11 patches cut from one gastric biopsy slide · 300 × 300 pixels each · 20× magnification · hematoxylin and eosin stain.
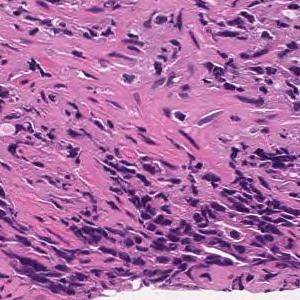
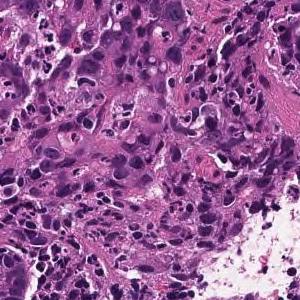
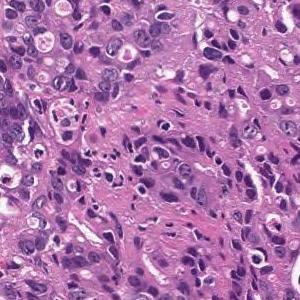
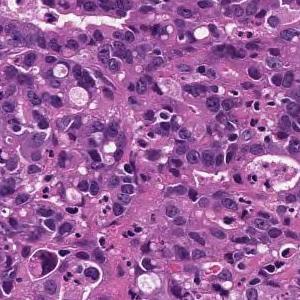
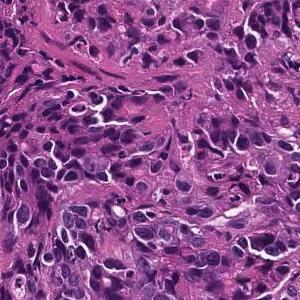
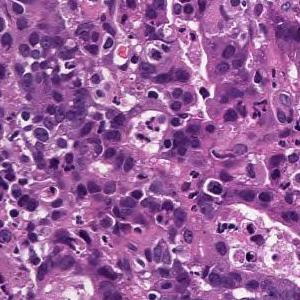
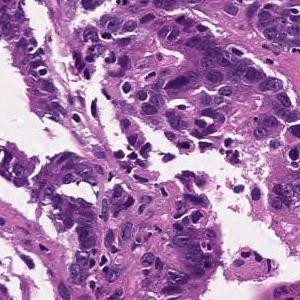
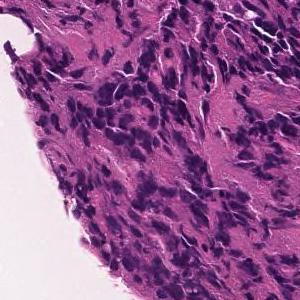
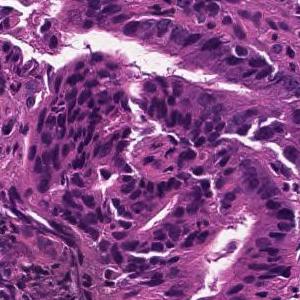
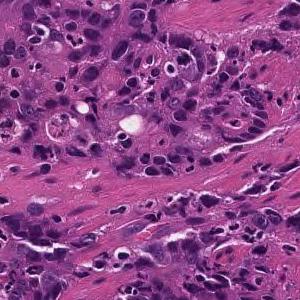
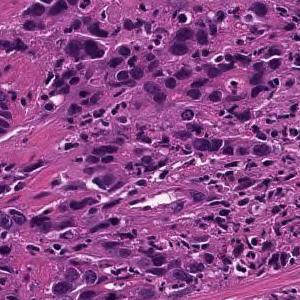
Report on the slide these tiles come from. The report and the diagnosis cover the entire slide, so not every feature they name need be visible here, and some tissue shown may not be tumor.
In the superficial epithelium, tumor tissue that invades by forming medium-sized to small, irregular ducts is observed. moderately differentiated tubular adenocarcinoma.
